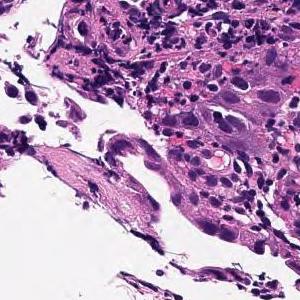
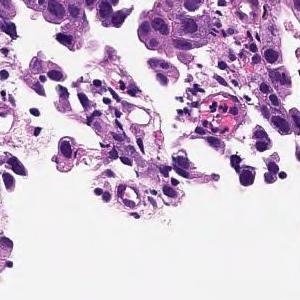
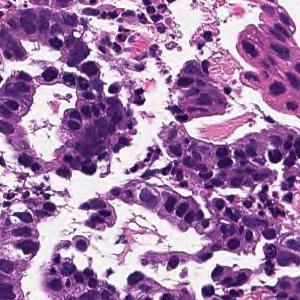
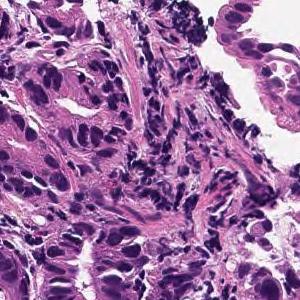
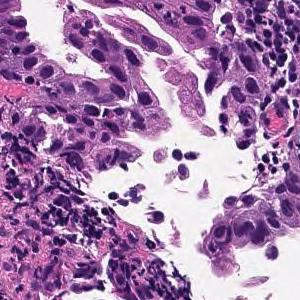
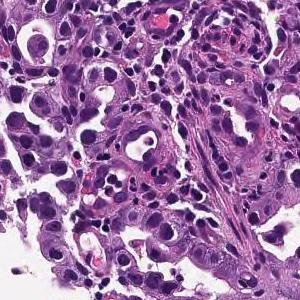
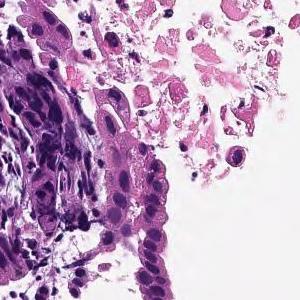
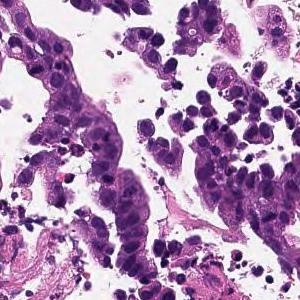
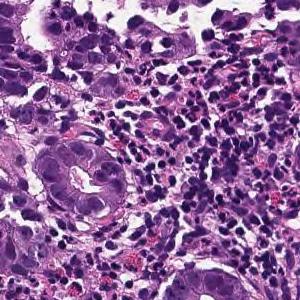
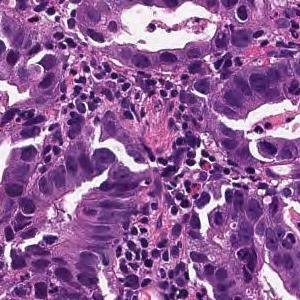
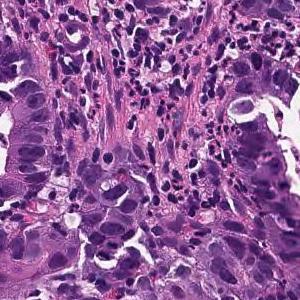
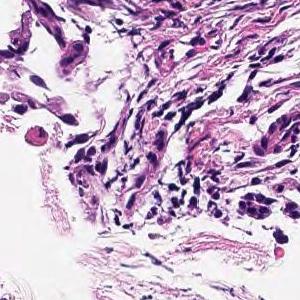
12 image tiles from a single gastric biopsy slide; each 300 × 300 pixels; H&E.
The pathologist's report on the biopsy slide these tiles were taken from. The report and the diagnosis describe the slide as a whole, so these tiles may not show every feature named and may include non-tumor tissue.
In the superficial epithelium, tumor tissue that invades by forming medium-sized to small, irregular ducts is observed. moderately differentiated tubular adenocarcinoma.
